14 tiles from the same stomach biopsy slide · 300×300 px each · 20× magnification · hematoxylin and eosin stain.
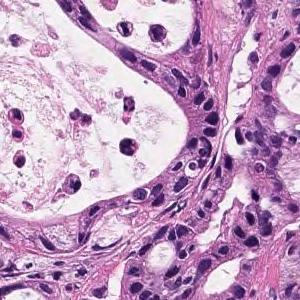
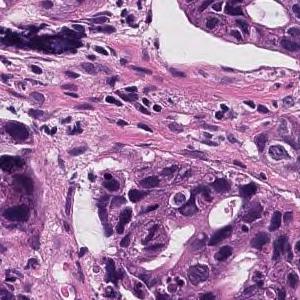
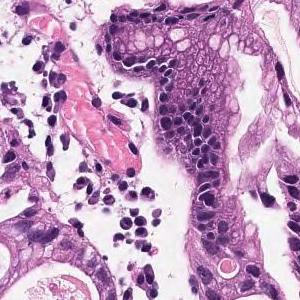
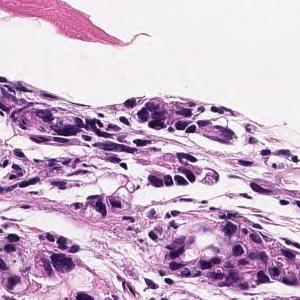
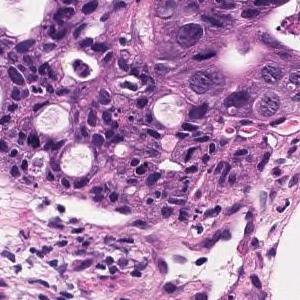
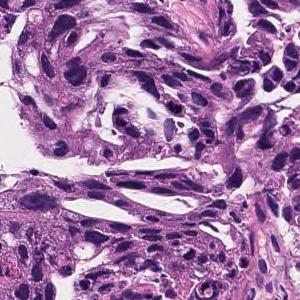
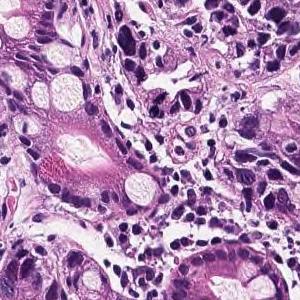
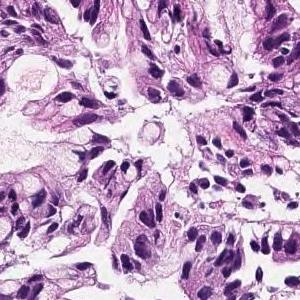
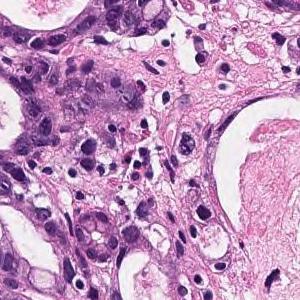
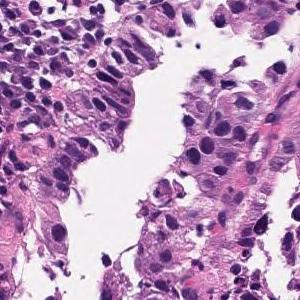
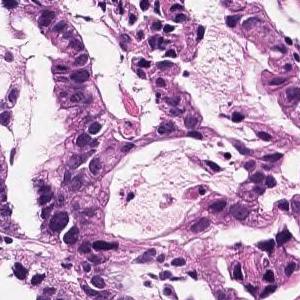
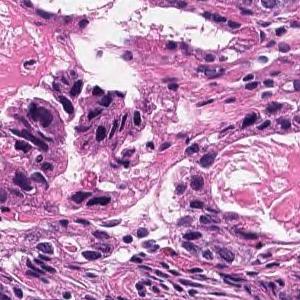
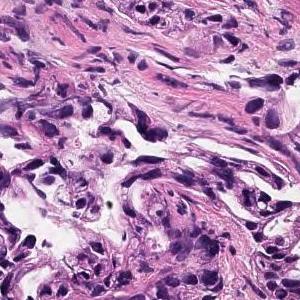
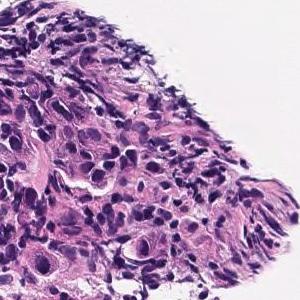
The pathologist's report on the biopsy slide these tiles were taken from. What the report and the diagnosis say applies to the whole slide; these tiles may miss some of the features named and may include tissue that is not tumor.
In the superficial epithelium, tumor tissue that invades by forming medium-sized to small, irregular ducts is observed. Moderately differentiated adenocarcinoma.
Histologic type: Moderately differentiated tubular adenocarcinoma.
